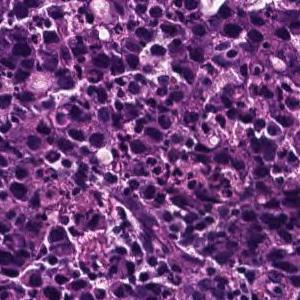
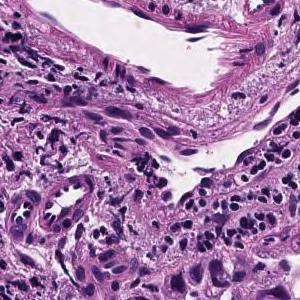
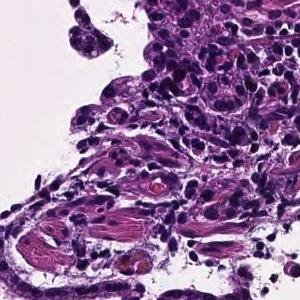
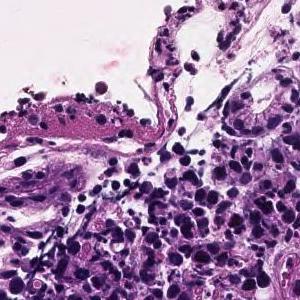
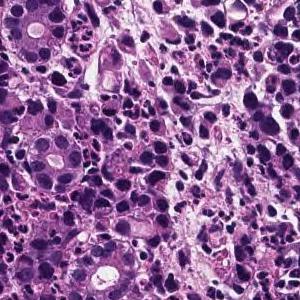
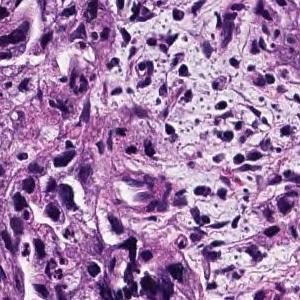
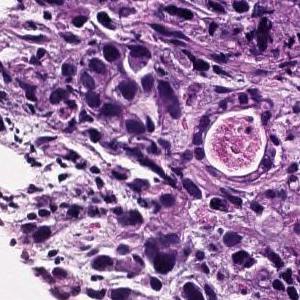
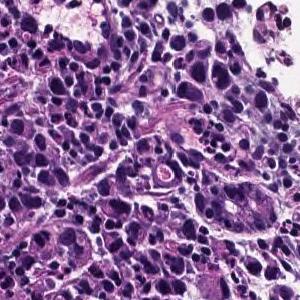
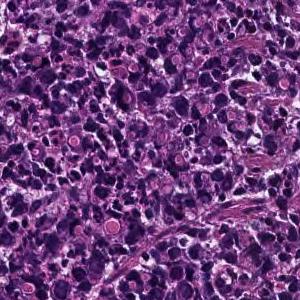
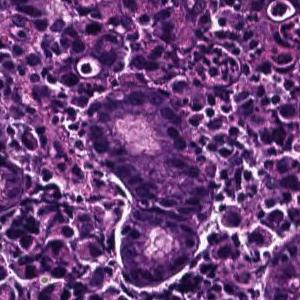
20× magnification, hematoxylin and eosin stain, 10 image tiles from a single gastric biopsy slide.
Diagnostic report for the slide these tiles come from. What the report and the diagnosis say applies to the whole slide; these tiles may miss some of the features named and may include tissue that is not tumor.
The superficial epithelium shows a large sheet-like shape, and some tumor tissue infiltrates with small irregular ducts. Poorly differentiated adenocarcinoma, solid-type
Histologic type: Poorly differentiated adenocarcinoma, solid type, a category of the Japanese Classification of Gastric Carcinoma; in the WHO 2019 classification it is tubular adenocarcinoma, poorly differentiated.
